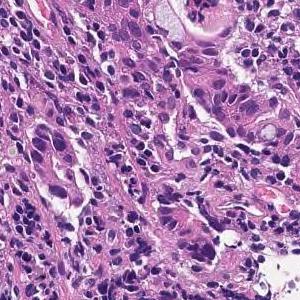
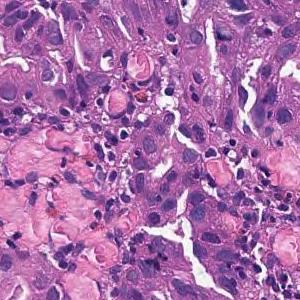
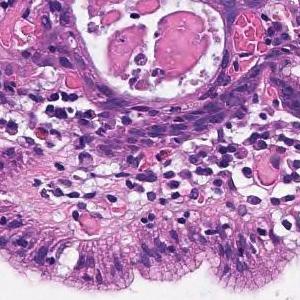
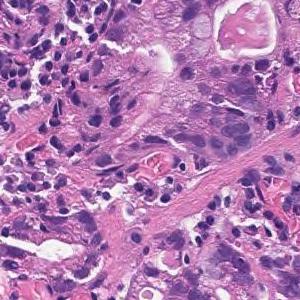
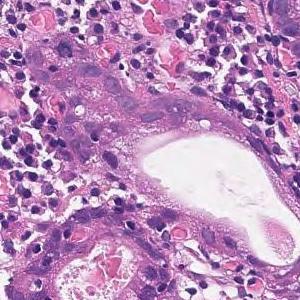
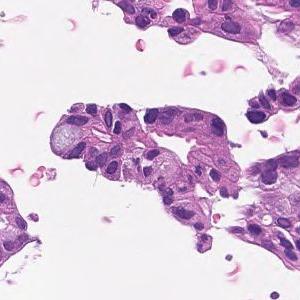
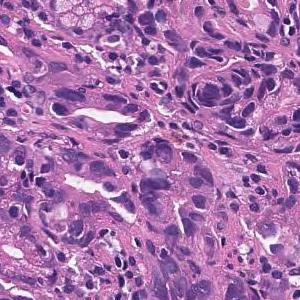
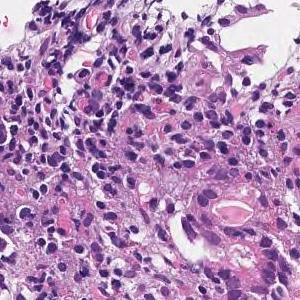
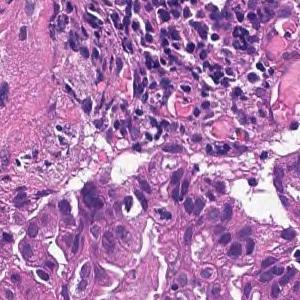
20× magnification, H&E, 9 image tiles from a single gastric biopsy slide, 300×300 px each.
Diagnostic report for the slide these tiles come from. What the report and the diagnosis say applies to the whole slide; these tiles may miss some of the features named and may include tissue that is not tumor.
In the superficial epithelium, tumor tissue that invades by forming medium-sized to small, irregular ducts is observed. moderately differentiated tubular adenocarcinoma.
